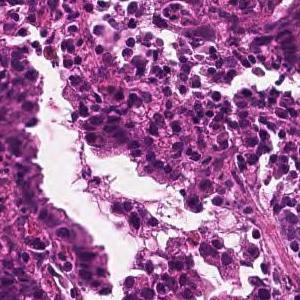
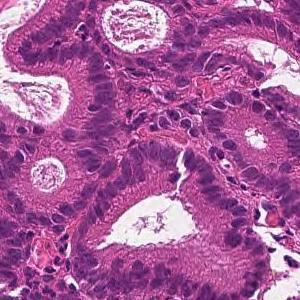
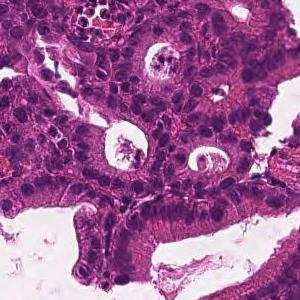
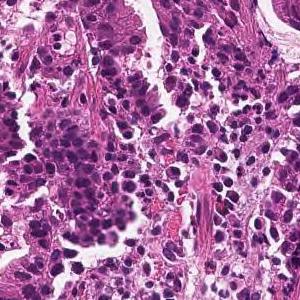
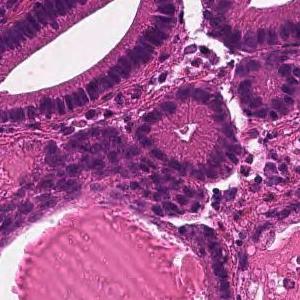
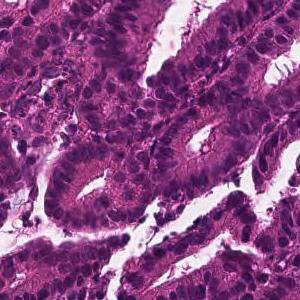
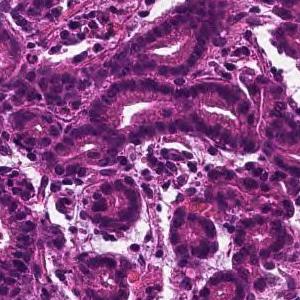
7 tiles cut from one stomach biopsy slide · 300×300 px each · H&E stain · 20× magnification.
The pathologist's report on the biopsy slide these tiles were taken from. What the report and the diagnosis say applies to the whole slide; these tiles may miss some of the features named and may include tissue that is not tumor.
From the superficial epithelium to the muscularis mucosae, tumor tissue consisting of medium-sized and irregular glandular ducts infiltrating is observed. Well differentiated tubular adenocarcinoma
